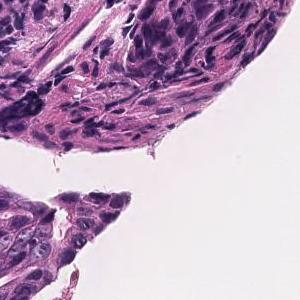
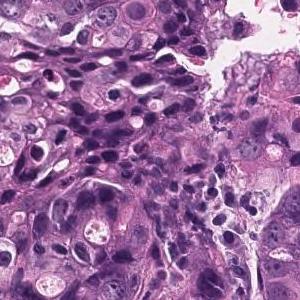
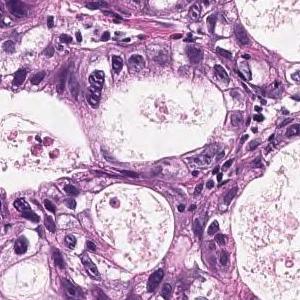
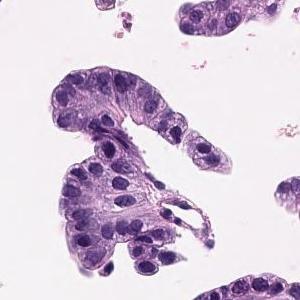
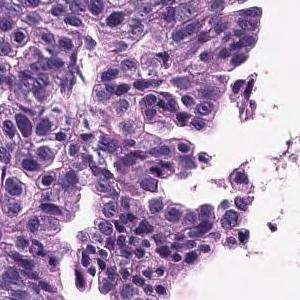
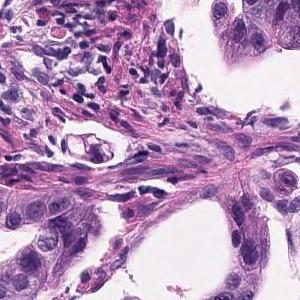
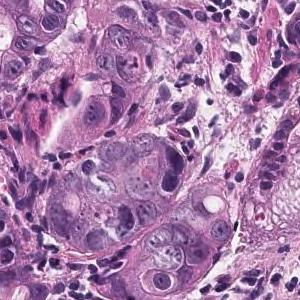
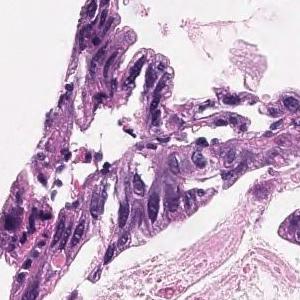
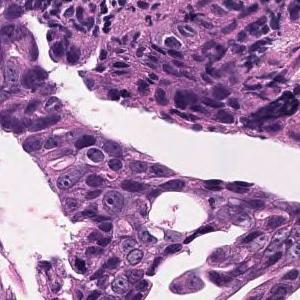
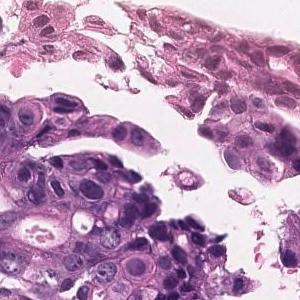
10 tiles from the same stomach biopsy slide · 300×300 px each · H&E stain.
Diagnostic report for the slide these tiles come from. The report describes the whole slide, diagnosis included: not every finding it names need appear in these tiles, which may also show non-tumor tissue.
Tumor cells are large, highly columnar, large club-shaped nuclei, and are associated with chromatin aggregation. Papillary adenocarcinoma.
